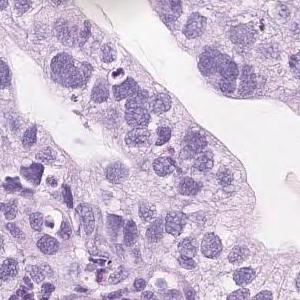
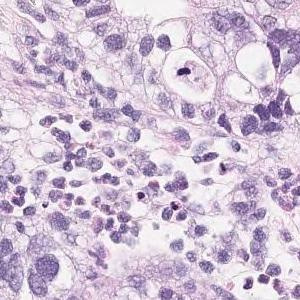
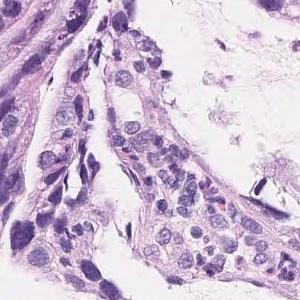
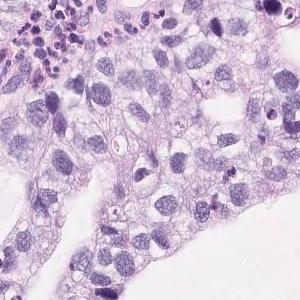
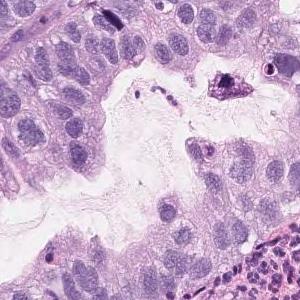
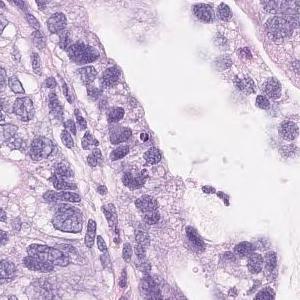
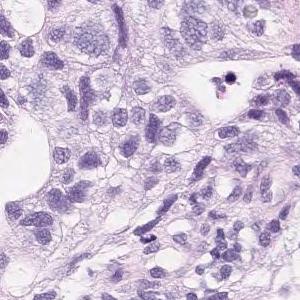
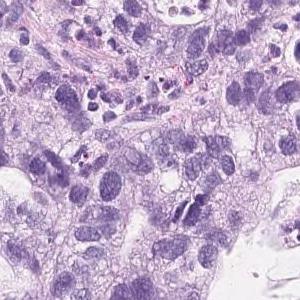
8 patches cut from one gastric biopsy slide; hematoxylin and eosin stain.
Report on the slide these tiles come from. Both the report and the diagnosis are for the whole slide: these tiles need not show every feature named, and some of the tissue shown may not be tumor.
On the superficial epithelium, tumor tissue consisting of large, irregular glandular ducts partially fused and infiltrated is observed. Well to moderately differentiated tubular adenocarcinoma (well differentiated tubular adenocarcinoma, moderately differentiated tubular adenocarcinoma)
Classified as well to moderately differentiated tubular adenocarcinoma.
